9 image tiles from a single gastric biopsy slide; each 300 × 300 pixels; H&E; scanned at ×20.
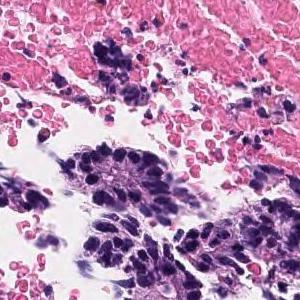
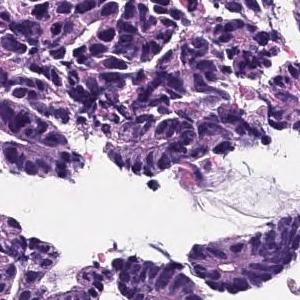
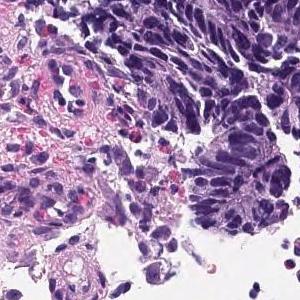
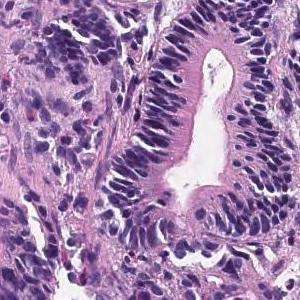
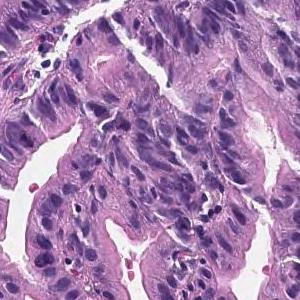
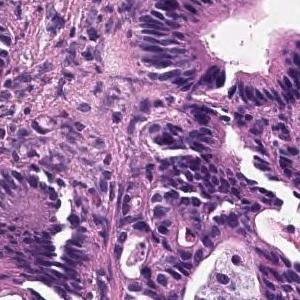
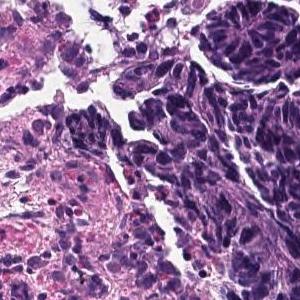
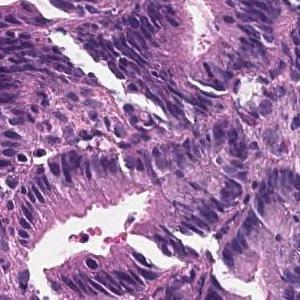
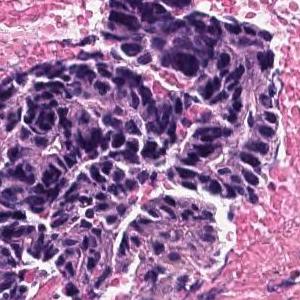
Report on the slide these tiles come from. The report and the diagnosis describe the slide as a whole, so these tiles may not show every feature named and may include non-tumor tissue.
In the superficial epithelium, tumor tissue that invades by forming medium-sized to small, irregular ducts is observed. Moderately differentiated adenocarcinoma.
Histologic type: Moderately differentiated tubular adenocarcinoma.
